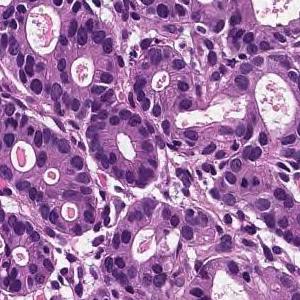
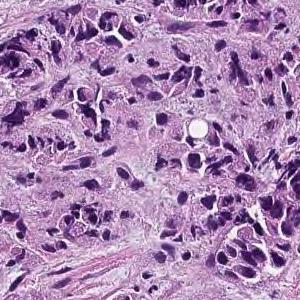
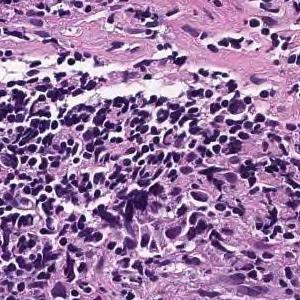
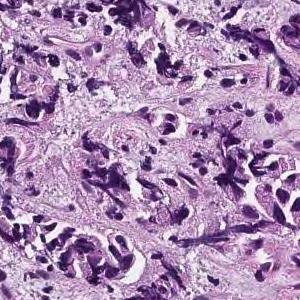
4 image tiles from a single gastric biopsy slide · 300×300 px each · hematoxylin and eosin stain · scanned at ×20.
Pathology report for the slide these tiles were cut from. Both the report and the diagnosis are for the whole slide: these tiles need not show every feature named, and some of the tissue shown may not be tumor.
The lamina propria shows small cord-like tumor tissue that infiltrates with fibrosis and marked chronic inflammatory cell infiltration. Poorly differentiated adenocarcinoma, non-solid type
The non-solid type named here is a Japanese Classification of Gastric Carcinoma category.
